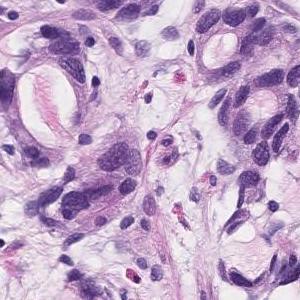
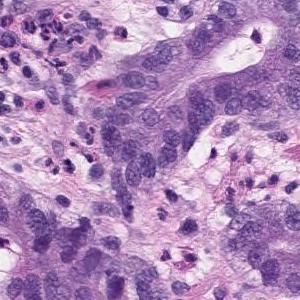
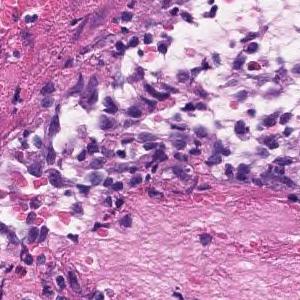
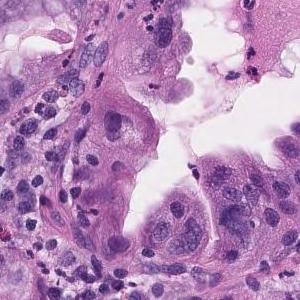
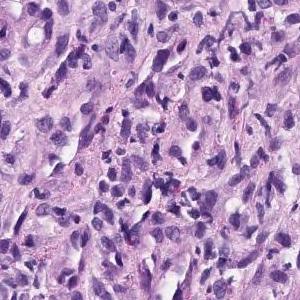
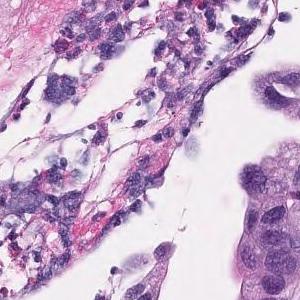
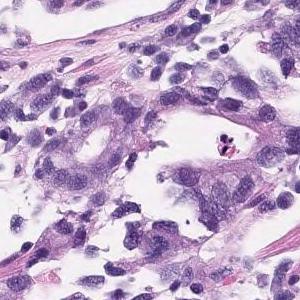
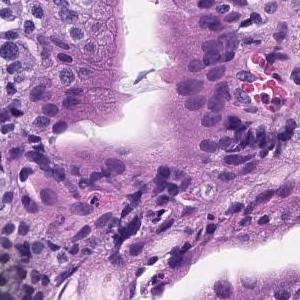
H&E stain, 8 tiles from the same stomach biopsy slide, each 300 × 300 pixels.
Pathology report for the slide these tiles were cut from. The report and the diagnosis cover the entire slide, so not every feature they name need be visible here, and some tissue shown may not be tumor.
Group 5, Adenocarcinoma. Moderately to poorly differentiated adenocarcinoma
